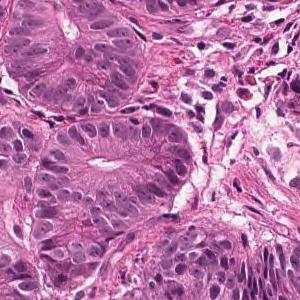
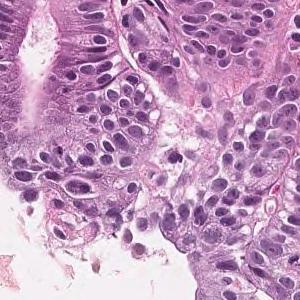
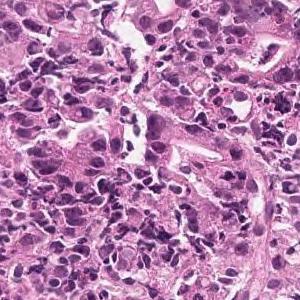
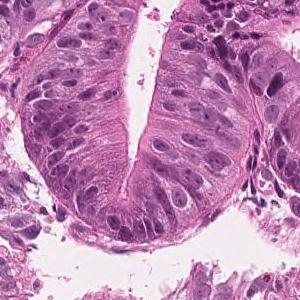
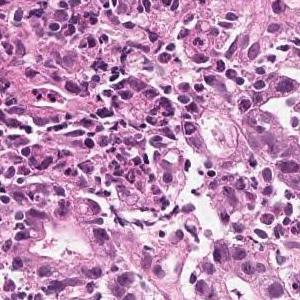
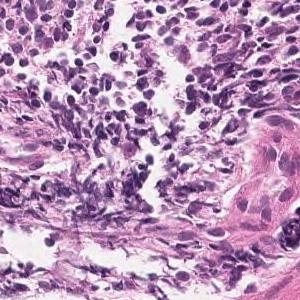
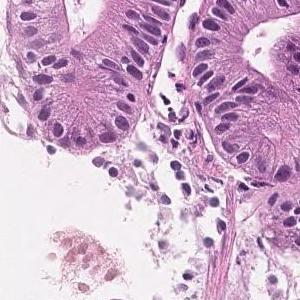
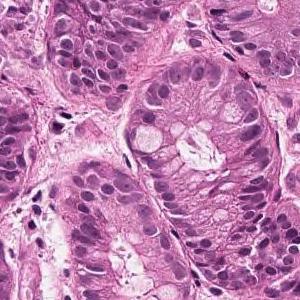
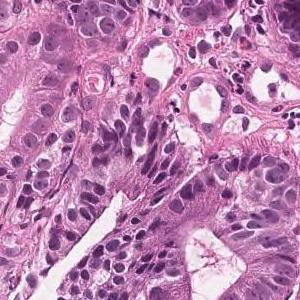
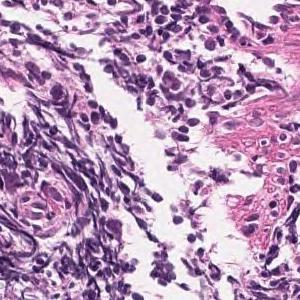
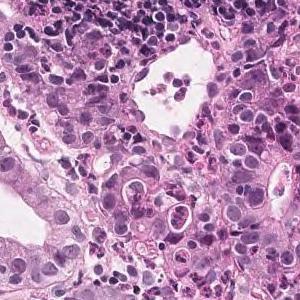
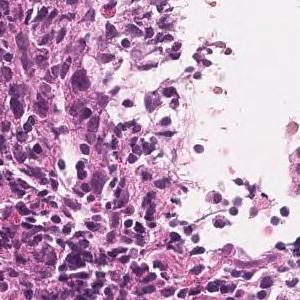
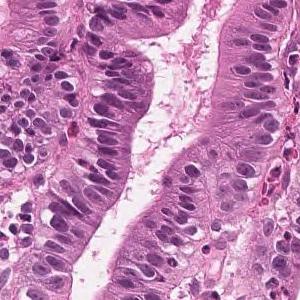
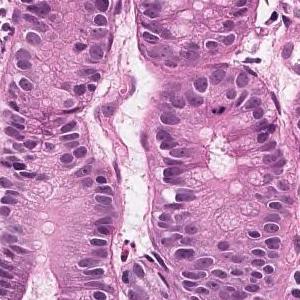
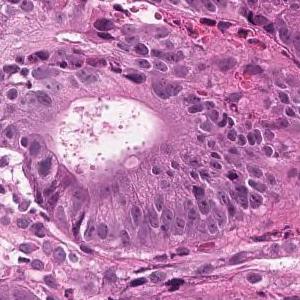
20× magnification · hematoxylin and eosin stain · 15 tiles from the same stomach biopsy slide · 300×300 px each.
Report on the slide these tiles come from. The report describes the whole slide, diagnosis included: not every finding it names need appear in these tiles, which may also show non-tumor tissue.
On the superficial epithelium, tumor tissue consisting of large, irregular glandular ducts partially fused and infiltrated is observed. Well to moderately differentiated tubular adenocarcinoma (well differentiated tubular adenocarcinoma, moderately differentiated tubular adenocarcinoma)
Histological subtype: Well to moderately differentiated tubular adenocarcinoma.
